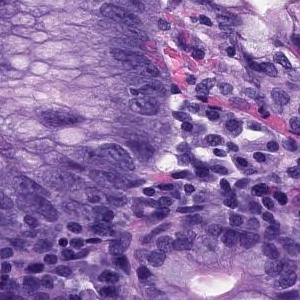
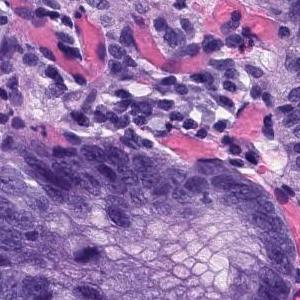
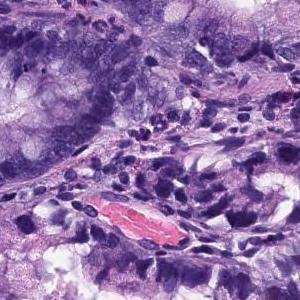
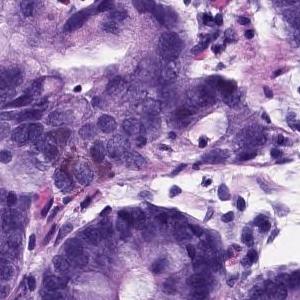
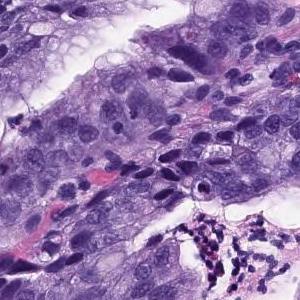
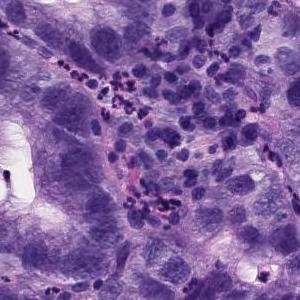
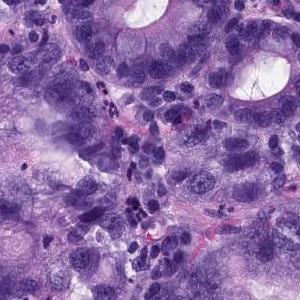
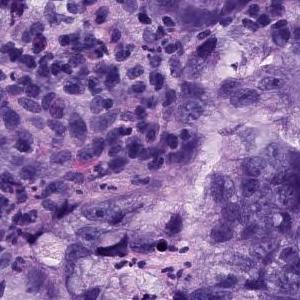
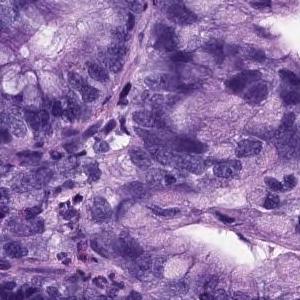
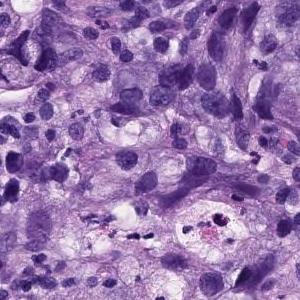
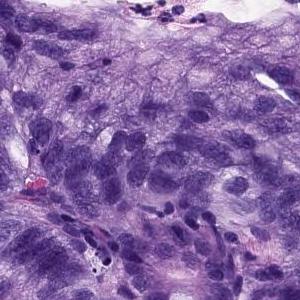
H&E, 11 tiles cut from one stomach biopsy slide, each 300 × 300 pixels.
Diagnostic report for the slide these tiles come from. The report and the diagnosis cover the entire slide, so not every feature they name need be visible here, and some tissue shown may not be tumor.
There are large atypical epithelial cells infiltrating and proliferating while forming atypical glandular cavities showing a fusion tendency. Moderately differentiated tubular adenocarcinoma.
